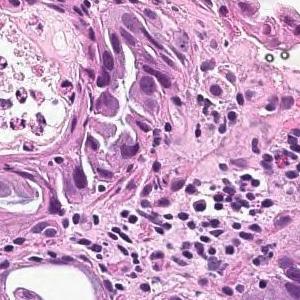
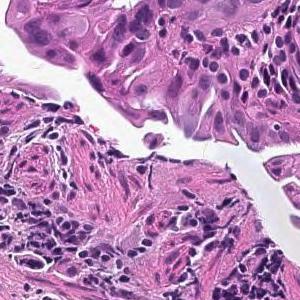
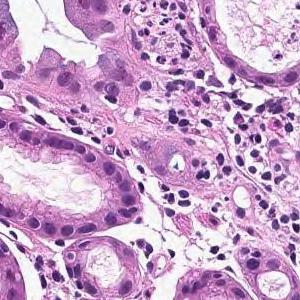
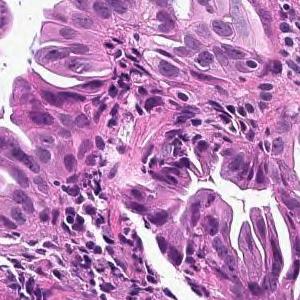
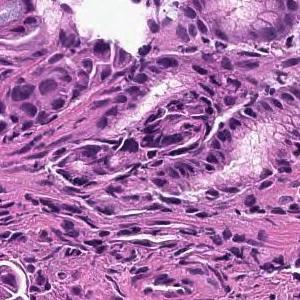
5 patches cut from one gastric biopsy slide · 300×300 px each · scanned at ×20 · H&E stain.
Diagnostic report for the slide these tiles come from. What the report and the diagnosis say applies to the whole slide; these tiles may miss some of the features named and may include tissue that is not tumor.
From the superficial epithelium to the muscularis mucosae, tumor tissue consisting of medium-sized and irregular glandular ducts infiltrating is observed. Well differentiated tubular adenocarcinoma
